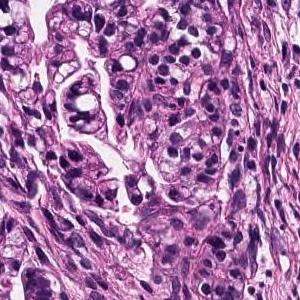
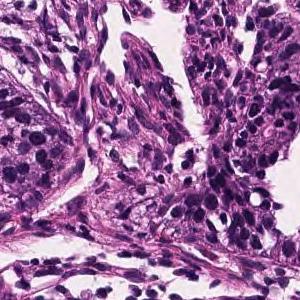
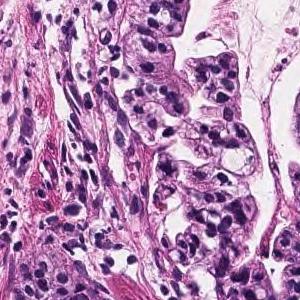
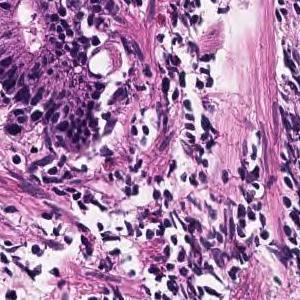
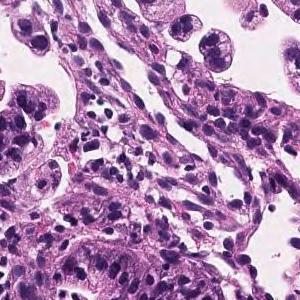
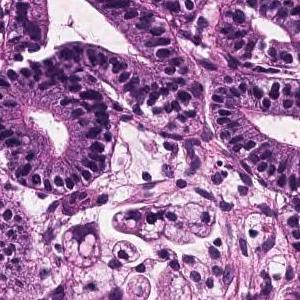
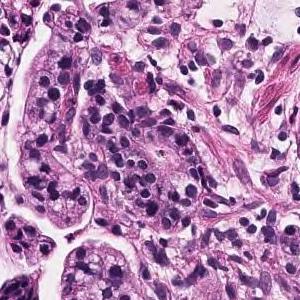
Scanned at ×20; hematoxylin and eosin stain; 7 tiles cut from one stomach biopsy slide; each 300 × 300 pixels.
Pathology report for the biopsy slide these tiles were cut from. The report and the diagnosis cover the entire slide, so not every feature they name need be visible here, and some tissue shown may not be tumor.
Tumor tissue consisting of large papillary structures or irregular glandular ducts partially fused and infiltrated is observed in the superficial epithelium. Well to moderately differentiated tubular adenocarcinoma.
The dataset labels this slide moderately differentiated tubular adenocarcinoma.
